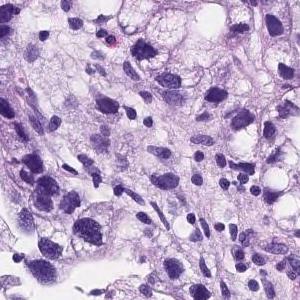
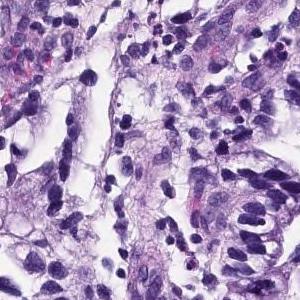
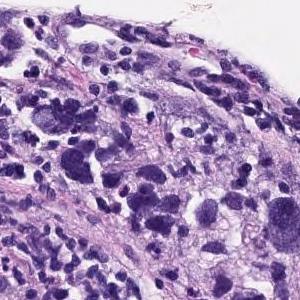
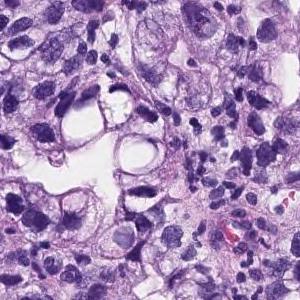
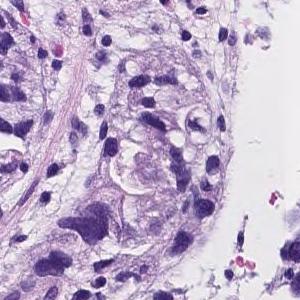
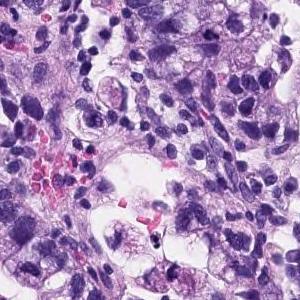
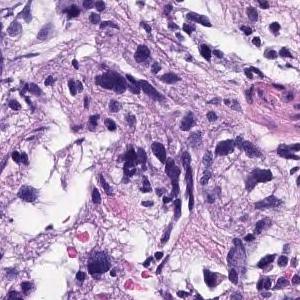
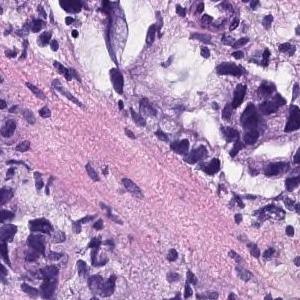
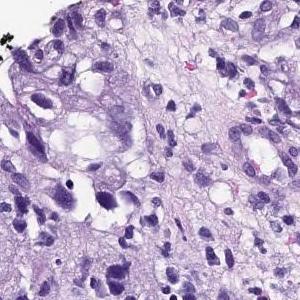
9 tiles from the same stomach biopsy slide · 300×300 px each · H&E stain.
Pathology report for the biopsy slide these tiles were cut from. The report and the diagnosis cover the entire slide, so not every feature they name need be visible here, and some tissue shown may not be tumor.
Medium to small, irregular glandular ducts are formed in the superficial epithelium, and in some cases, the glandular ducts are fused to show solid alveolar lesions and infiltrating tumor tissue is observed. Poorly differentiated adenocarcinoma, Moderately differentiated adenocarcinoma.
Dataset label: moderately differentiated tubular adenocarcinoma.
